20× magnification · 9 patches cut from one gastric biopsy slide · 300×300 px each.
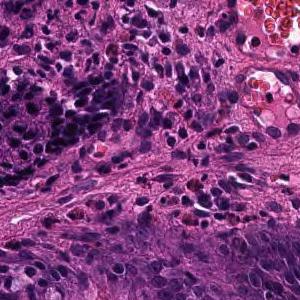
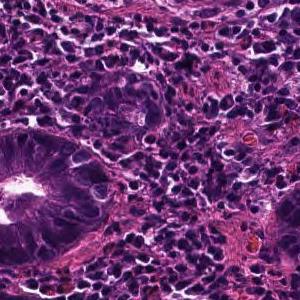
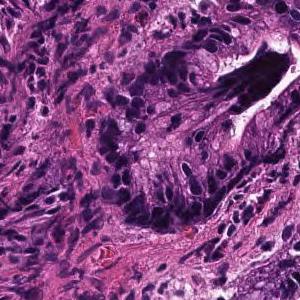
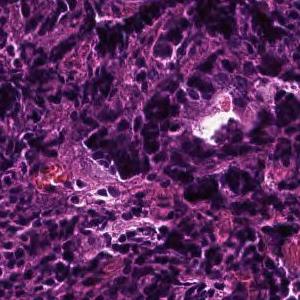
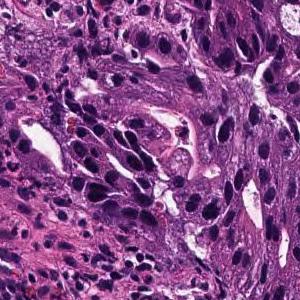
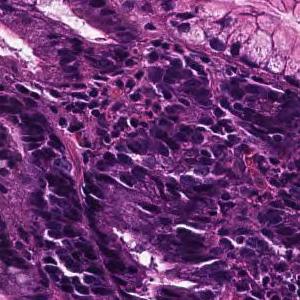
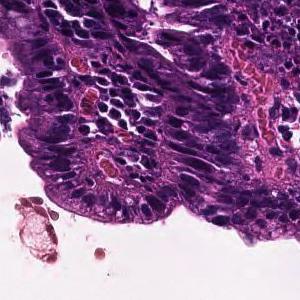
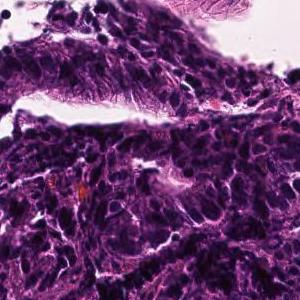
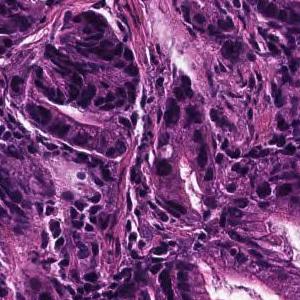
Diagnostic report for the slide these tiles come from. Both the report and the diagnosis are for the whole slide: these tiles need not show every feature named, and some of the tissue shown may not be tumor.
In the superficial epithelium, tumor tissue that invades by forming medium-sized to small, irregular ducts is observed. moderately differentiated tubular adenocarcinoma.
